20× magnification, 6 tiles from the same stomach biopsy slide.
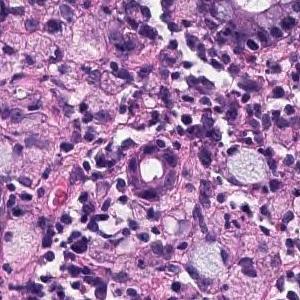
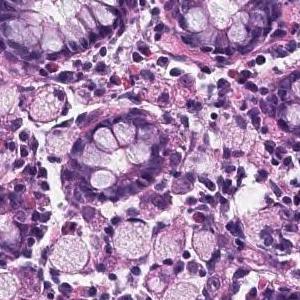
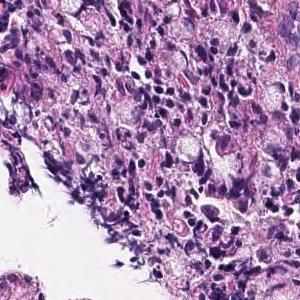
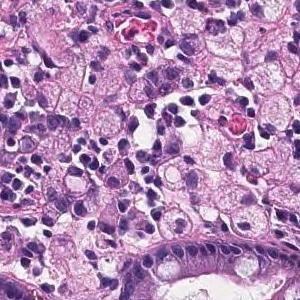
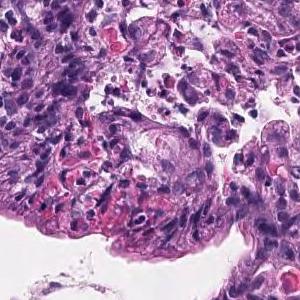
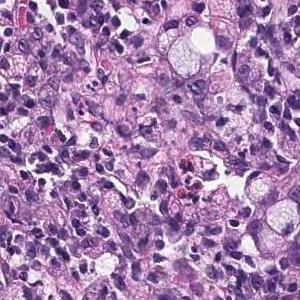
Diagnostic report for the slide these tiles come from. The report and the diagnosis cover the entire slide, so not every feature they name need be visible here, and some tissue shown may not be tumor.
A tumor tissue consisting of signet ring cell carcinoma cells is observed in the lamina propria. Signet ring cell carcinoma.
